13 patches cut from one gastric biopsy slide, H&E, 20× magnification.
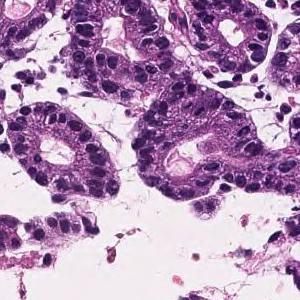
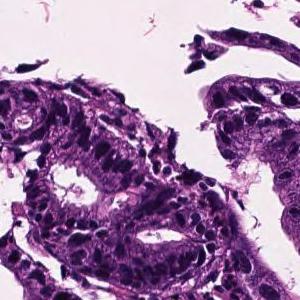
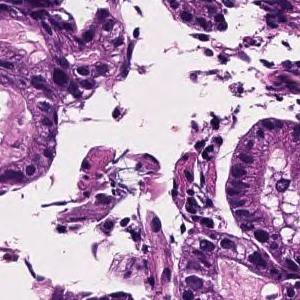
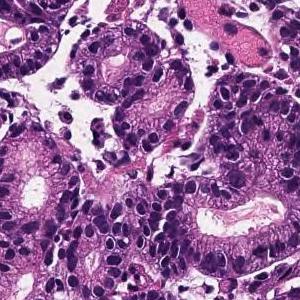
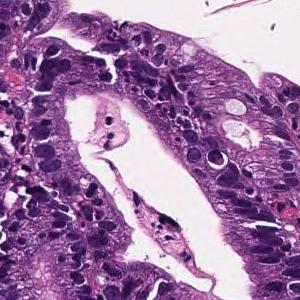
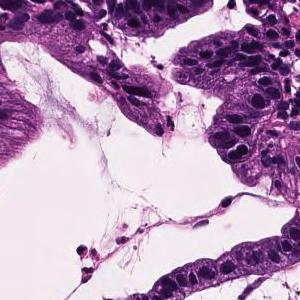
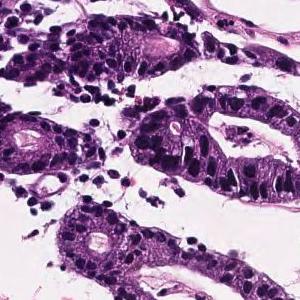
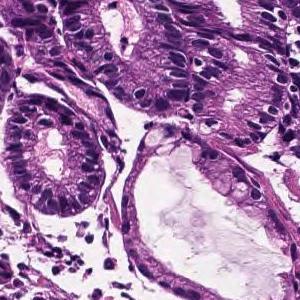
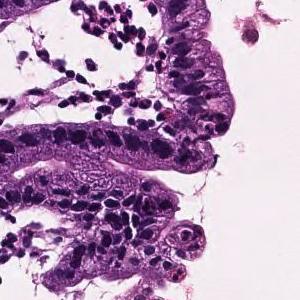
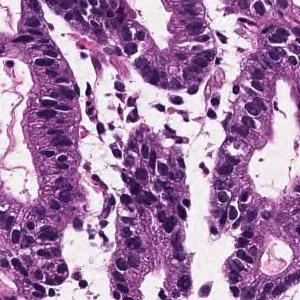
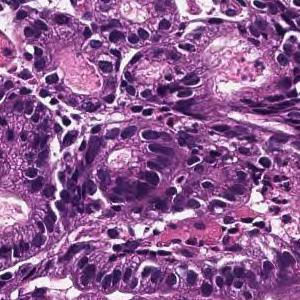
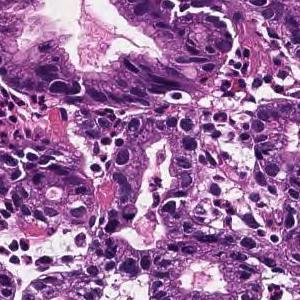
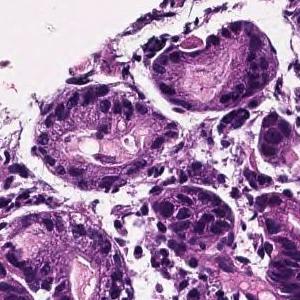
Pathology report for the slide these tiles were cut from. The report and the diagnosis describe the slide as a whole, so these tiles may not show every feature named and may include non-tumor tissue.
On the superficial epithelium, tumor tissue that infiltrates by forming medium-sized papillary or small irregular ducts is observed. Papillary adenocarcinoma
